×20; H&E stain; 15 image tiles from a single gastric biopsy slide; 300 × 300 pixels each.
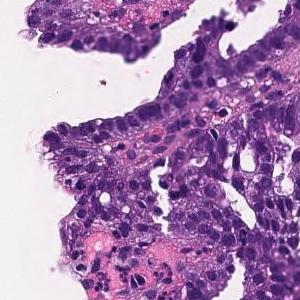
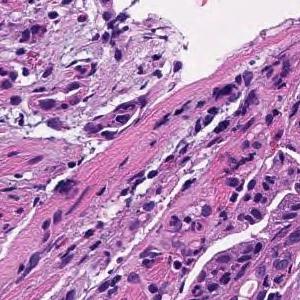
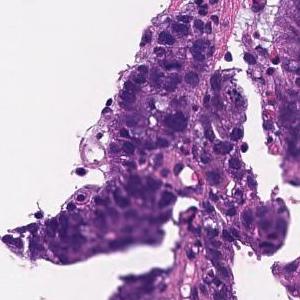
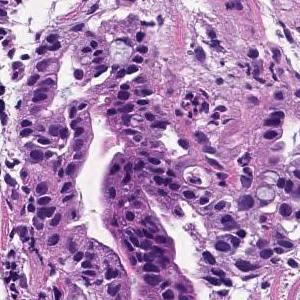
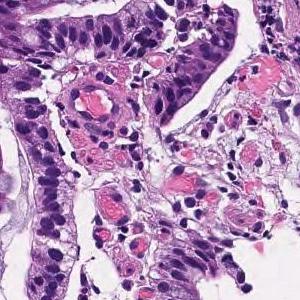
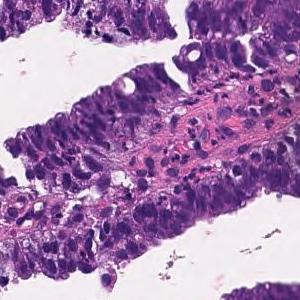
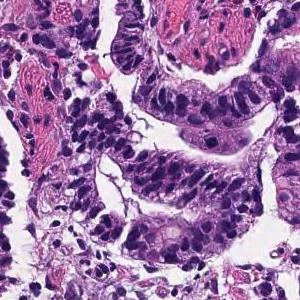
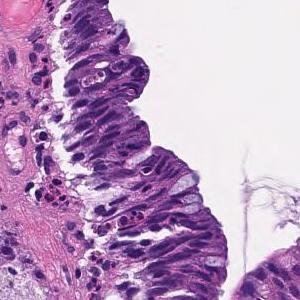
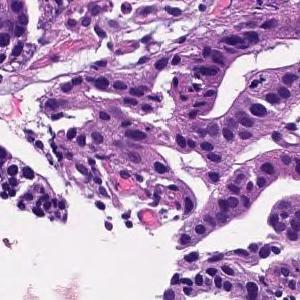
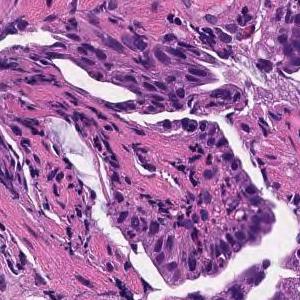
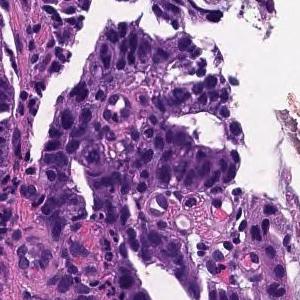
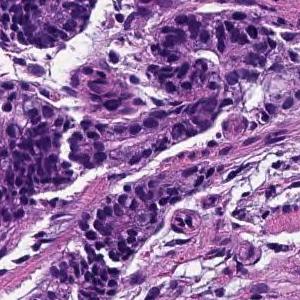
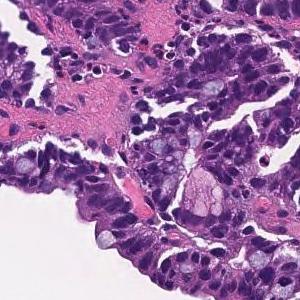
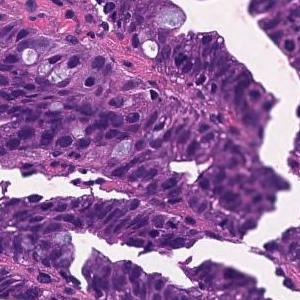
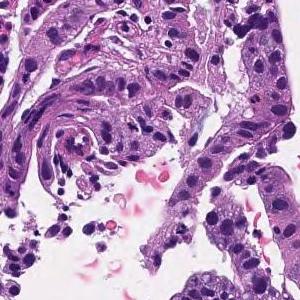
The pathologist's report on the biopsy slide these tiles were taken from. The report and the diagnosis cover the entire slide, so not every feature they name need be visible here, and some tissue shown may not be tumor.
Tumor cells are large, highly columnar, large club-shaped nuclei, and are associated with chromatin aggregation. Papillary adenocarcinoma.
